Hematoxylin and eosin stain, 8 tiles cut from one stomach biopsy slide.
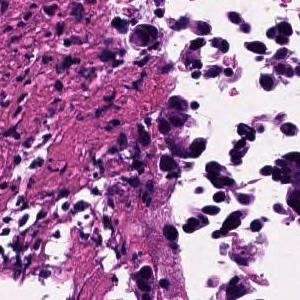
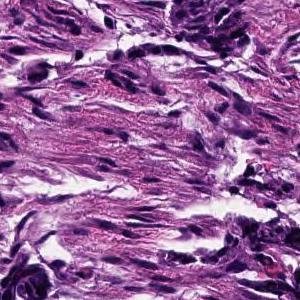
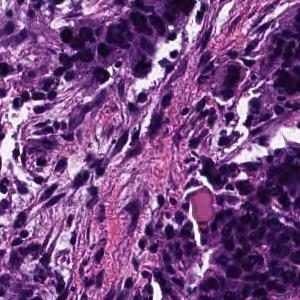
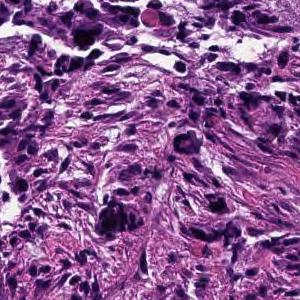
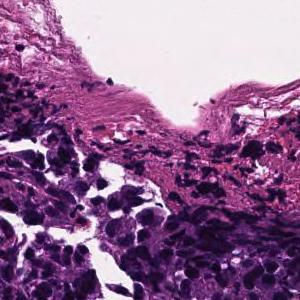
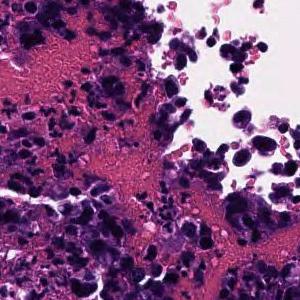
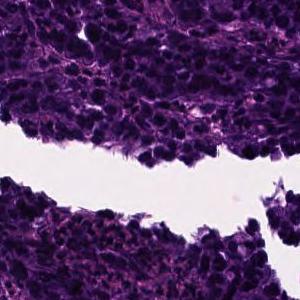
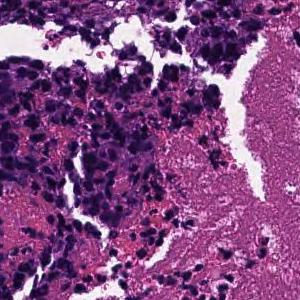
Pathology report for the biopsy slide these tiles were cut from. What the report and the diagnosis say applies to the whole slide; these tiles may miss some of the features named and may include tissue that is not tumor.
In the superficial epithelium, tumor tissue that invades by forming medium-sized to small, irregular ducts is observed. moderately differentiated tubular adenocarcinoma.
